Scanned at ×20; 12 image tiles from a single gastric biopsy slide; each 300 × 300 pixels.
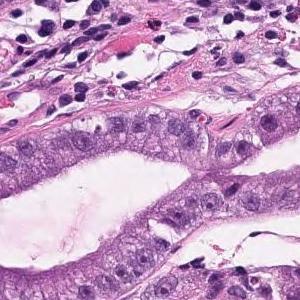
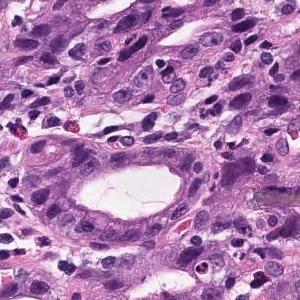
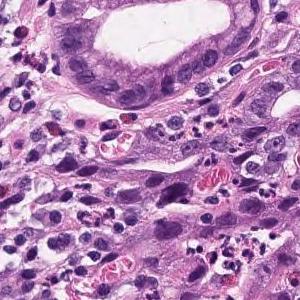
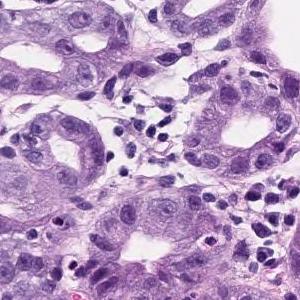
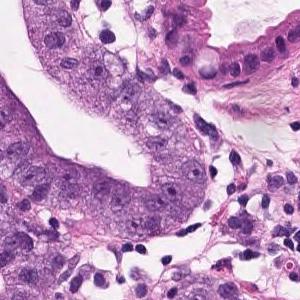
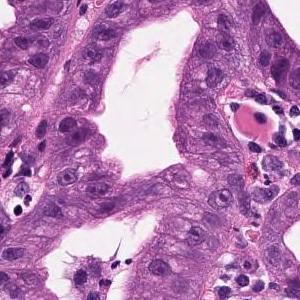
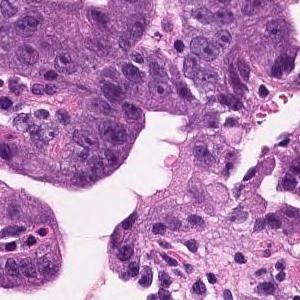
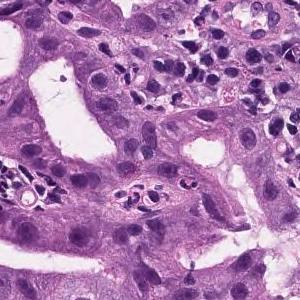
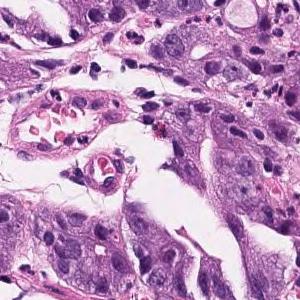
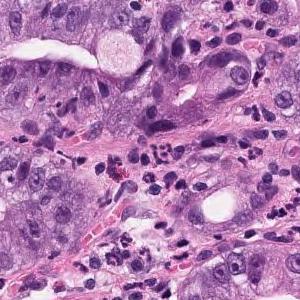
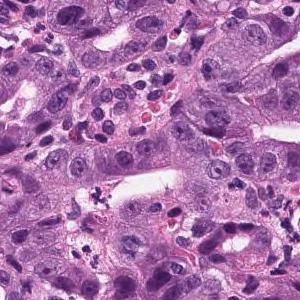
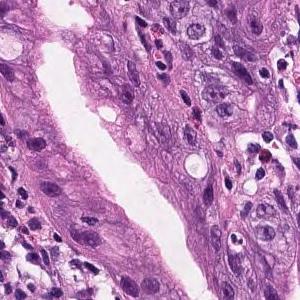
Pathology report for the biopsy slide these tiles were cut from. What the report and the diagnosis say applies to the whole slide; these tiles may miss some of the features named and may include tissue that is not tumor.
In the superficial epithelium, tumor tissue that invades by forming medium-sized to small, irregular ducts is observed. Well to moderately differentiated adenocarcinoma (well differentiated tubular adenocarcinoma, moderately differentiated tubular adenocarcinoma).
Histological subtype: Well to moderately differentiated tubular adenocarcinoma.
